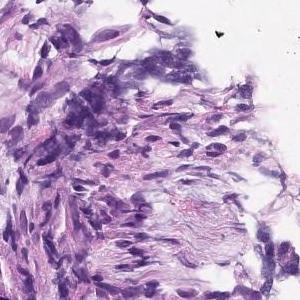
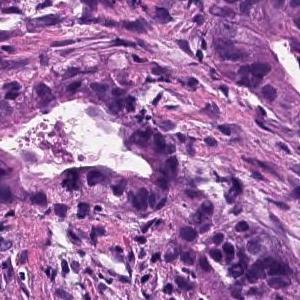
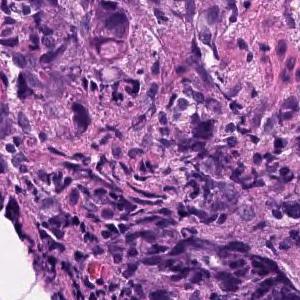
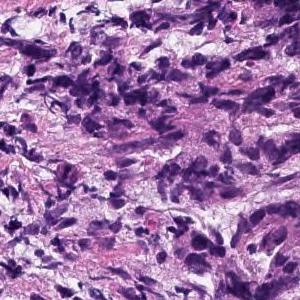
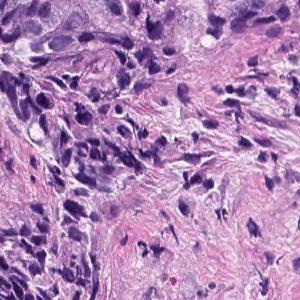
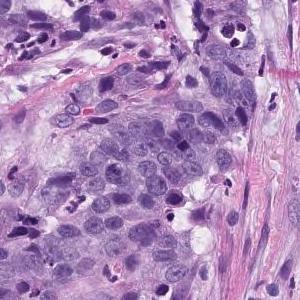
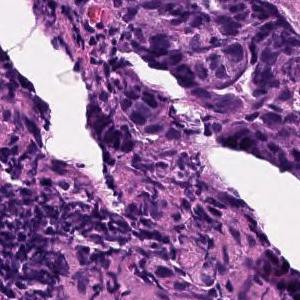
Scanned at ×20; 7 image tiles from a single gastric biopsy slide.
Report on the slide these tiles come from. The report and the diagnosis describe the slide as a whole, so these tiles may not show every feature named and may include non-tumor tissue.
Medium to small, irregular glandular ducts are formed in the superficial epithelium, and in some cases, the glandular ducts are fused to show solid alveolar lesions and infiltrating tumor tissue is observed. Moderately to poorly differentiated adenocarcinoma.
